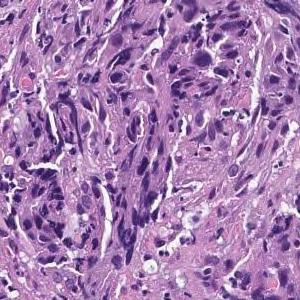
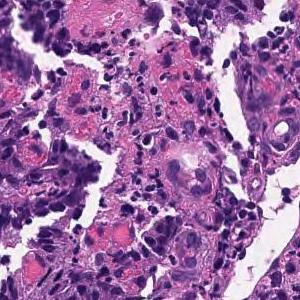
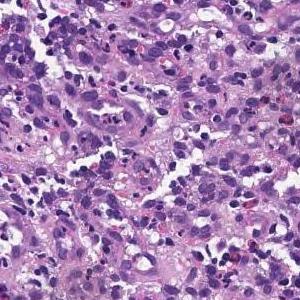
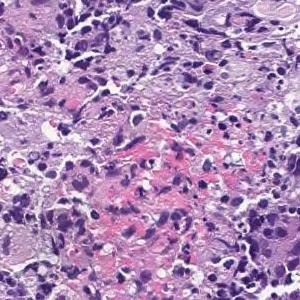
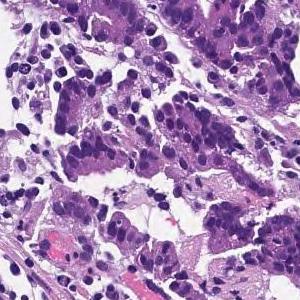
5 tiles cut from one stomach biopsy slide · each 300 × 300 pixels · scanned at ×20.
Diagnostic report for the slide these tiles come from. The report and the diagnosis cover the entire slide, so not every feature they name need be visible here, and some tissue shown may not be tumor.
On the superficial epithelium, tumor tissue consisting of large irregular glandular ducts partially fused and infiltrated is observed. Well to moderately differentiated tubular adenocarcinoma (well differentiated tubular adenocarcinoma, moderately differentiated tubular adenocarcinoma)
Subtype: Well to moderately differentiated tubular adenocarcinoma.
